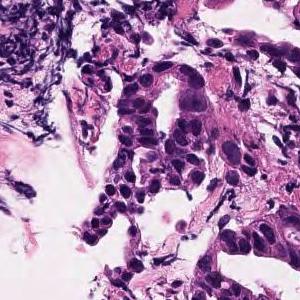
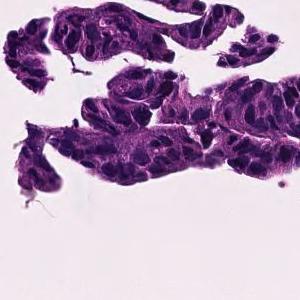
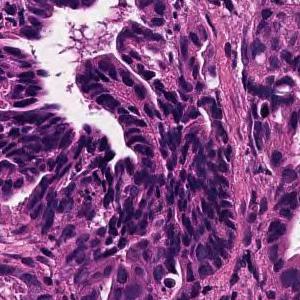
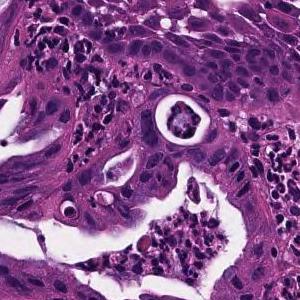
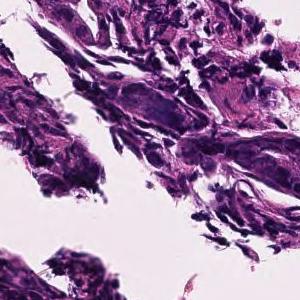
5 tiles from the same stomach biopsy slide; 300 × 300 pixels each.
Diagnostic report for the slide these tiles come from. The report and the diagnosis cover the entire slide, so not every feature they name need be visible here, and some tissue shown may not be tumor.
In the superficial epithelium, medium-sized to small irregular glandular ducts are formed, and in some cases, the glandular ducts are fused or small cord-like infiltrating tumor tissue is observed. moderately differentiated tubular adenocarcinoma
